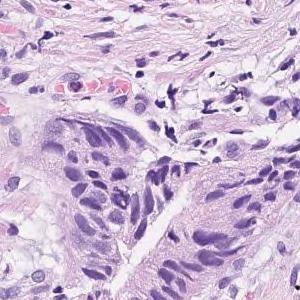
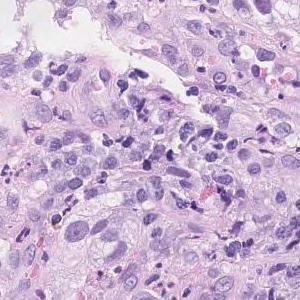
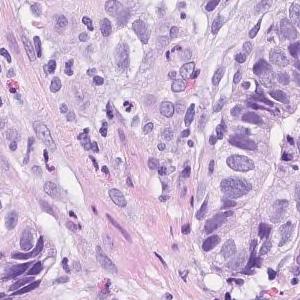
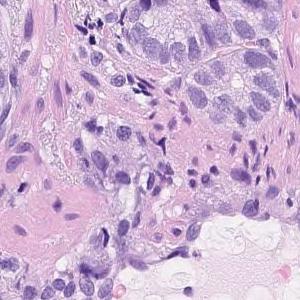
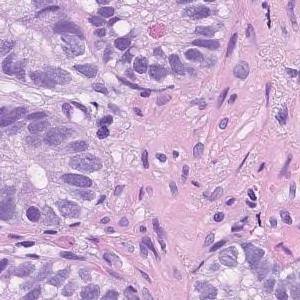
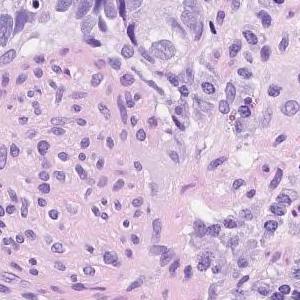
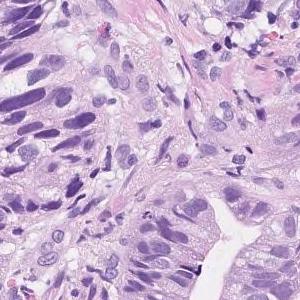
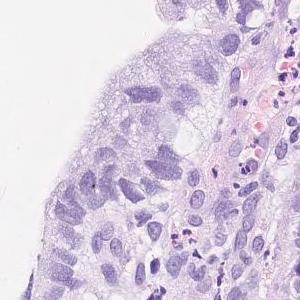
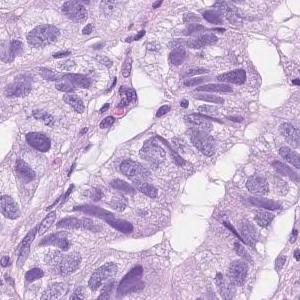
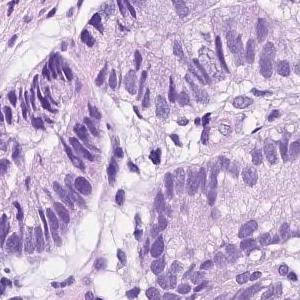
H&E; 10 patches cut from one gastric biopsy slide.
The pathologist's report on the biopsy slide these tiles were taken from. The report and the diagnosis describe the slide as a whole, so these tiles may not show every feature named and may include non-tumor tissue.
Atypical l cells with atypical nuclei forming solid or diffuse vesicles or small irregular atypical ducts and growing in a complex manner. moderately differentiated tubular adenocarcinoma
